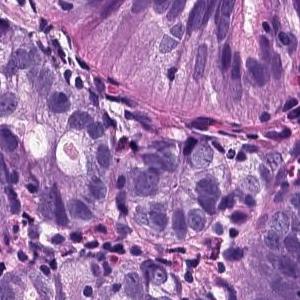
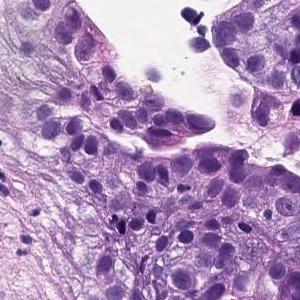
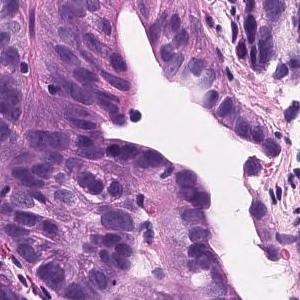
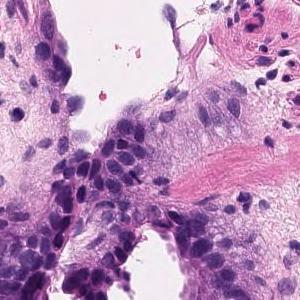
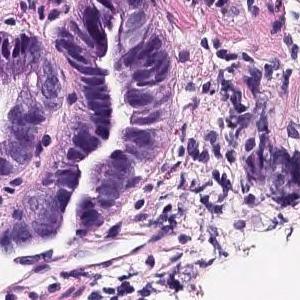
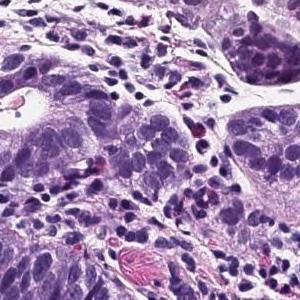
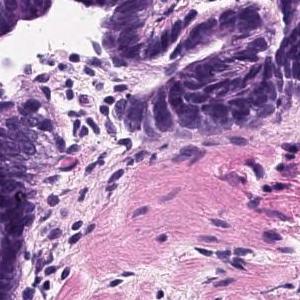
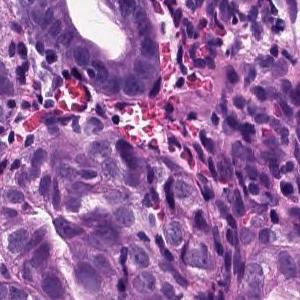
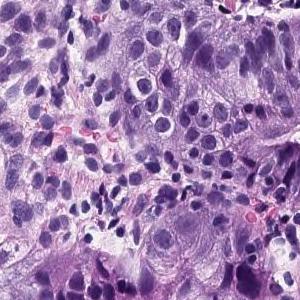
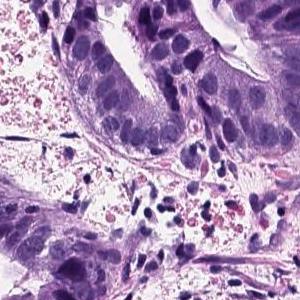
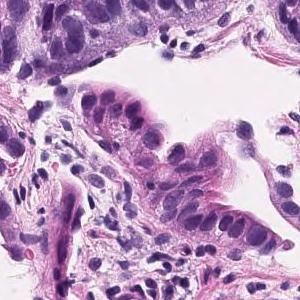
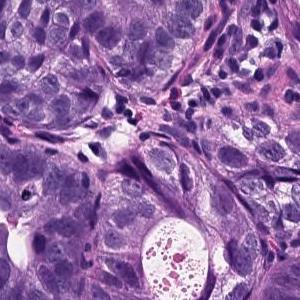
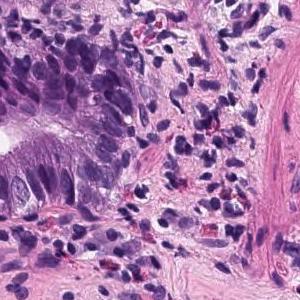
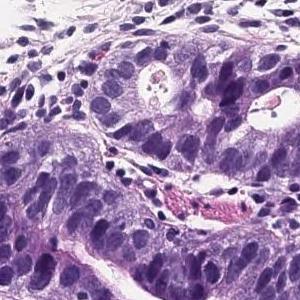
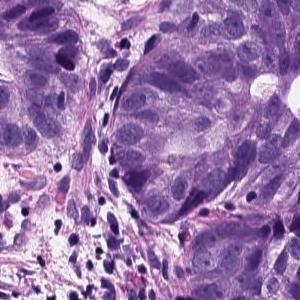
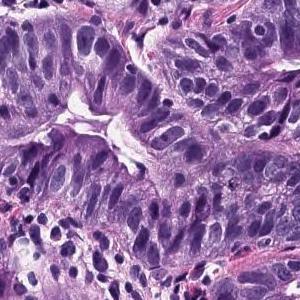
16 image tiles from a single gastric biopsy slide, H&E.
The pathologist's report on the biopsy slide these tiles were taken from. Both the report and the diagnosis are for the whole slide: these tiles need not show every feature named, and some of the tissue shown may not be tumor.
Atypical epithelial cells infiltrating and proliferating while forming a glandular cavity is observed. moderately differentiated tubular adenocarcinoma
